4 image tiles from a single gastric biopsy slide, H&E stain, scanned at ×20.
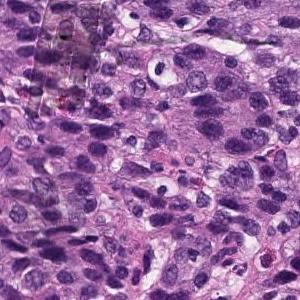
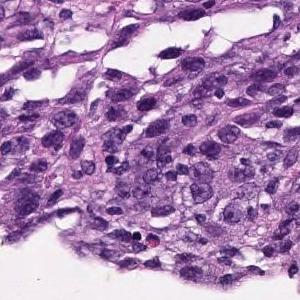
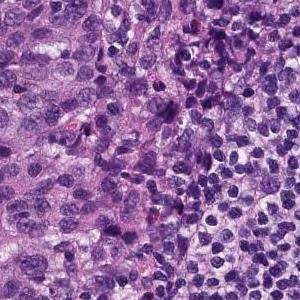
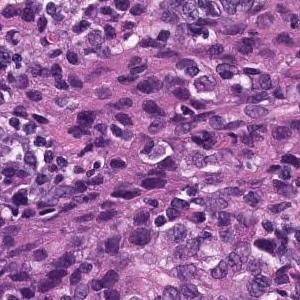
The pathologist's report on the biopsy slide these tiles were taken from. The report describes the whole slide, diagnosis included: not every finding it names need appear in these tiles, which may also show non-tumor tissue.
In the superficial epithelium, tumor tissue that invades by forming medium-sized to small, irregular ducts is observed. Moderately differentiated adenocarcinoma.
Histologic type: Moderately differentiated tubular adenocarcinoma.
